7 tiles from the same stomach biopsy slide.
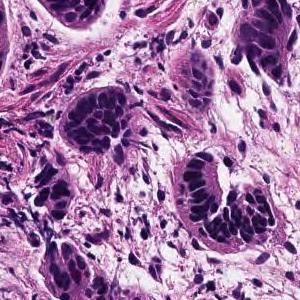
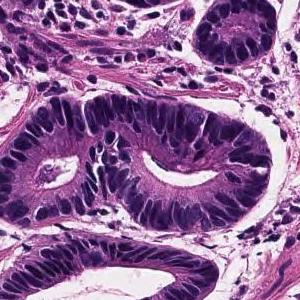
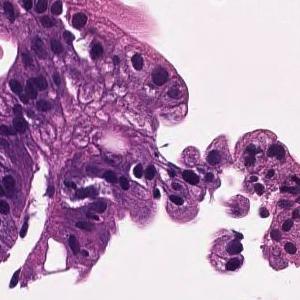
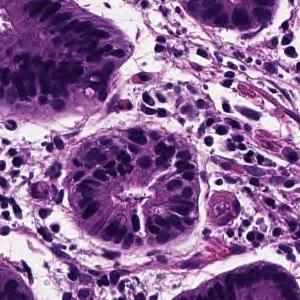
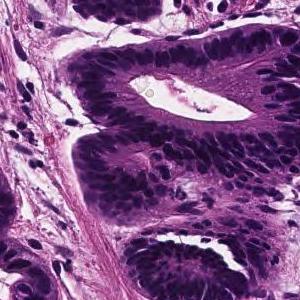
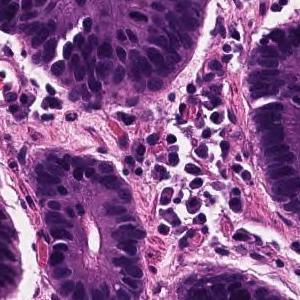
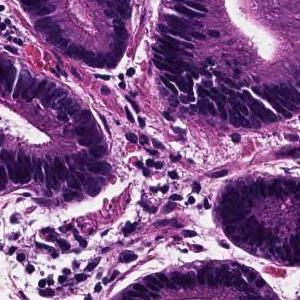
Diagnostic report for the slide these tiles come from. What the report and the diagnosis say applies to the whole slide; these tiles may miss some of the features named and may include tissue that is not tumor.
From the superficial epithelium to the muscularis mucosae, tumor tissue consisting of medium-sized and irregular glandular ducts infiltrating is observed. Well differentiated tubular adenocarcinoma
